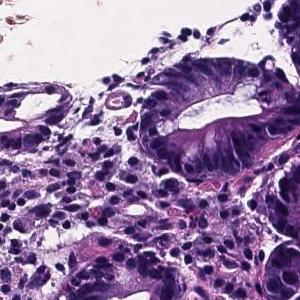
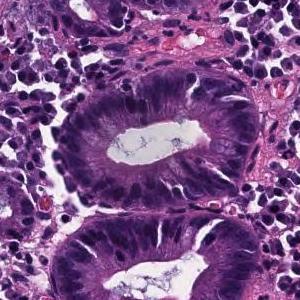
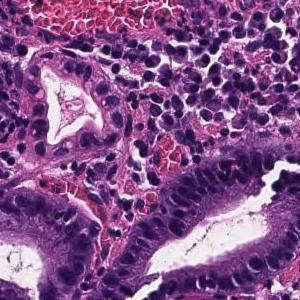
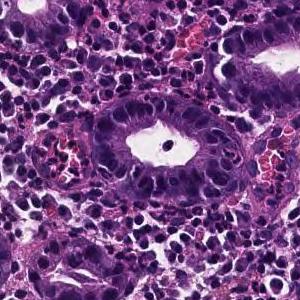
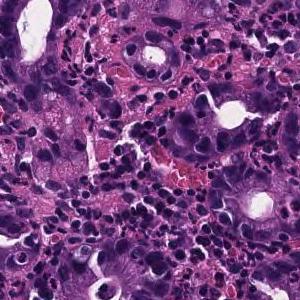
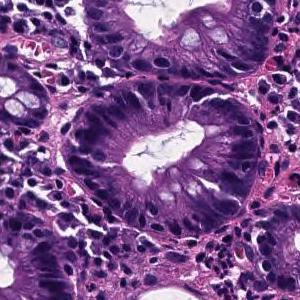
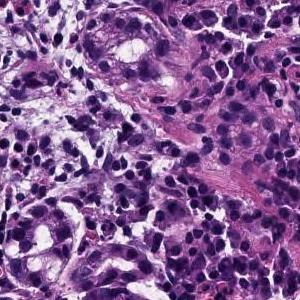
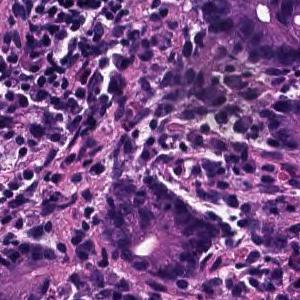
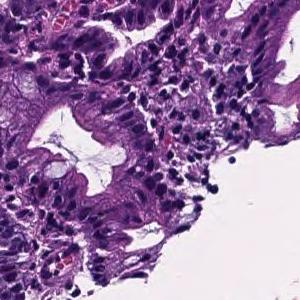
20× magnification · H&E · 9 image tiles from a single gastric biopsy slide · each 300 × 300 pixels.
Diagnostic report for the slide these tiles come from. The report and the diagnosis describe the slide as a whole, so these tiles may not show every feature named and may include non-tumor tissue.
In the superficial epithelium, tumor tissue that invades by forming medium-sized to small, irregular ducts is observed. moderately differentiated tubular adenocarcinoma.
